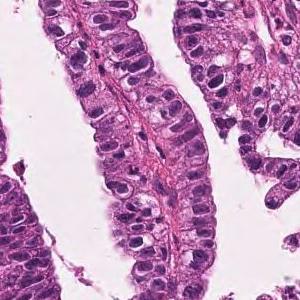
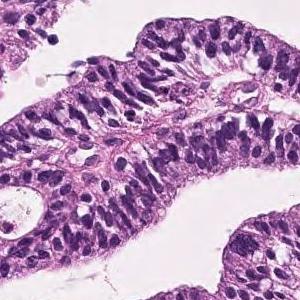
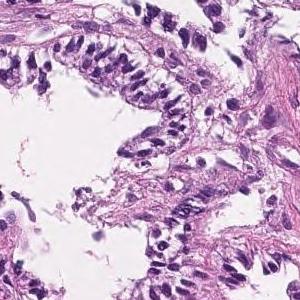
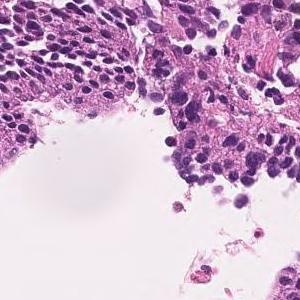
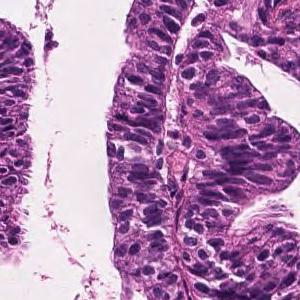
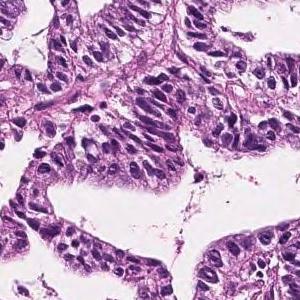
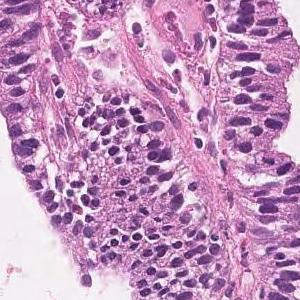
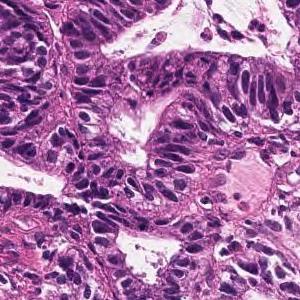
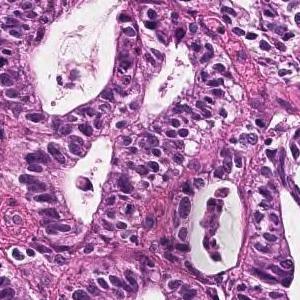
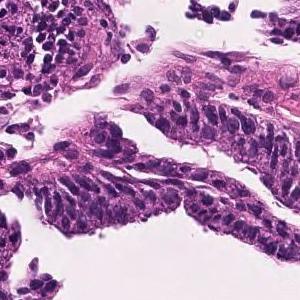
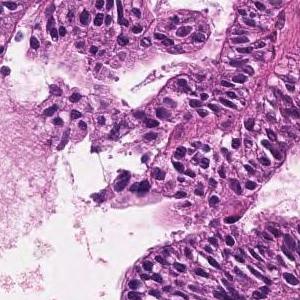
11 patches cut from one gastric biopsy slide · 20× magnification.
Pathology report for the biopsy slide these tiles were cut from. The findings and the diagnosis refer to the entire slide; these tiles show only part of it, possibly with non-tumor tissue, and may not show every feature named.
Tumor cells are large, highly columnar, large club-shaped nuclei, and are associated with chromatin aggregation. Papillary adenocarcinoma.
